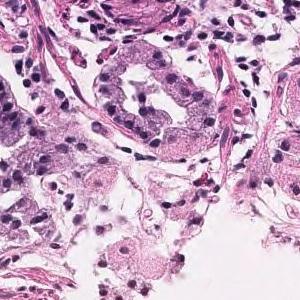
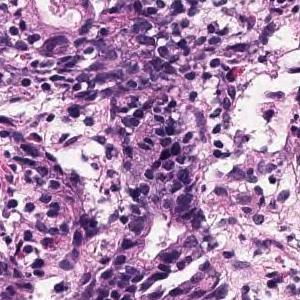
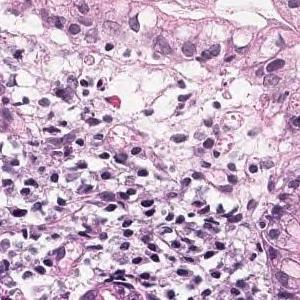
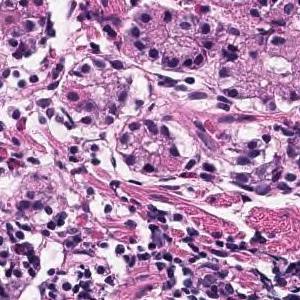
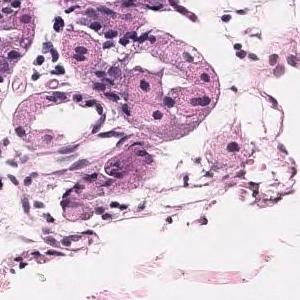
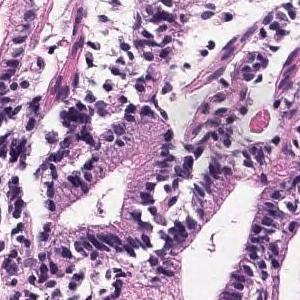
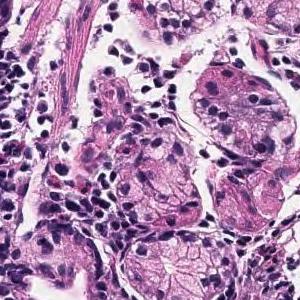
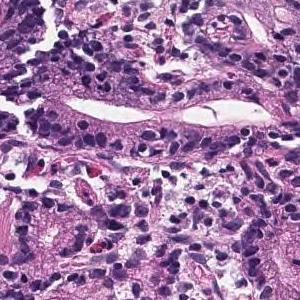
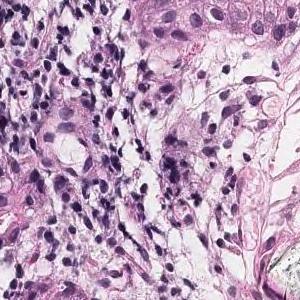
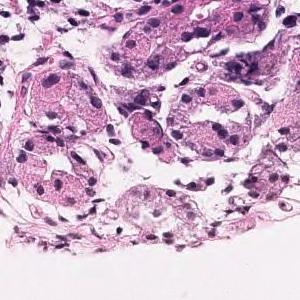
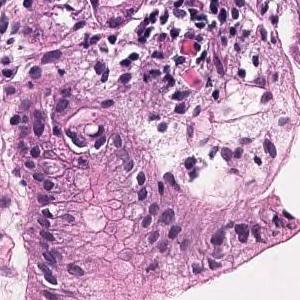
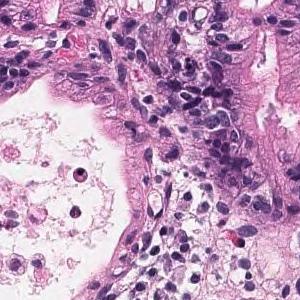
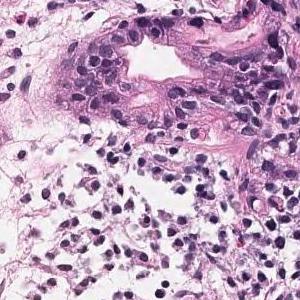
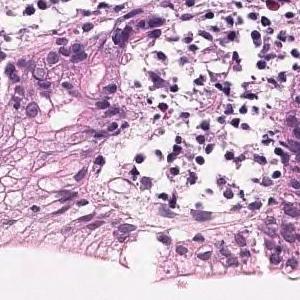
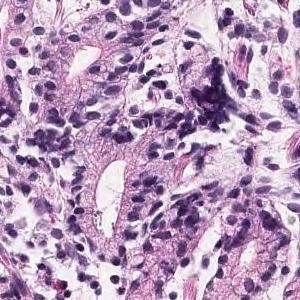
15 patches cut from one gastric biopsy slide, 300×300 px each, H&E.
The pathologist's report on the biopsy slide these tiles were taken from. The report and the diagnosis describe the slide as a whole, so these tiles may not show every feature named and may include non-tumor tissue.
Tumor tissue that grows and grows is observed, showing a medium-sized round or irregular duct. moderately differentiated tubular adenocarcinoma
